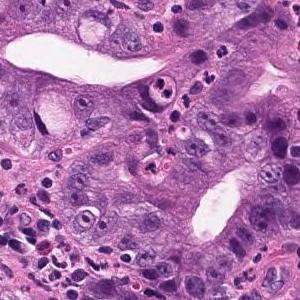
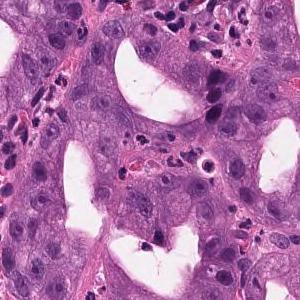
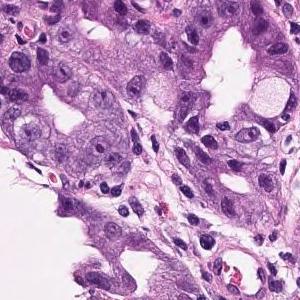
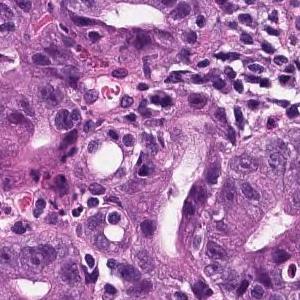
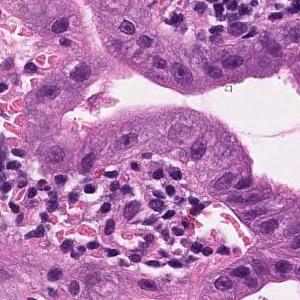
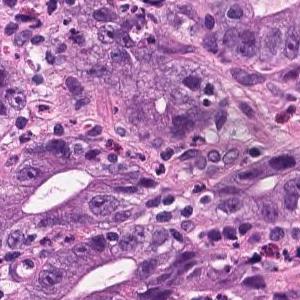
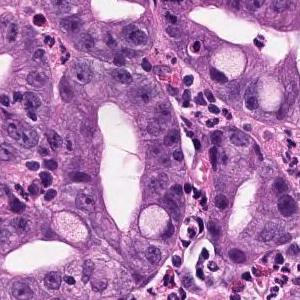
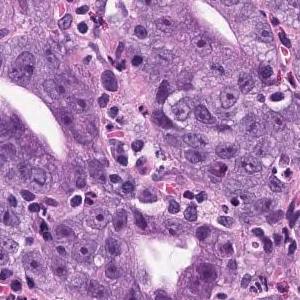
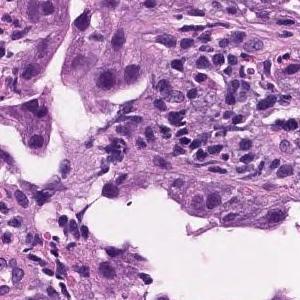
9 tiles from the same stomach biopsy slide, each 300 × 300 pixels.
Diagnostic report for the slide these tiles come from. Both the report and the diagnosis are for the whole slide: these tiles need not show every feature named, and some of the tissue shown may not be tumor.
In the superficial epithelium, tumor tissue that invades by forming medium-sized to small, irregular ducts is observed. Well to moderately differentiated adenocarcinoma (well differentiated tubular adenocarcinoma, moderately differentiated tubular adenocarcinoma).
Histologic type: Well to moderately differentiated tubular adenocarcinoma.
